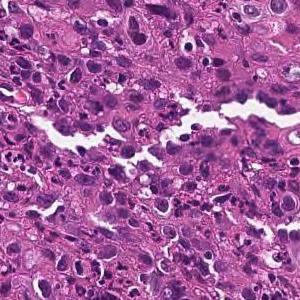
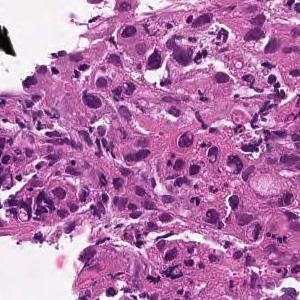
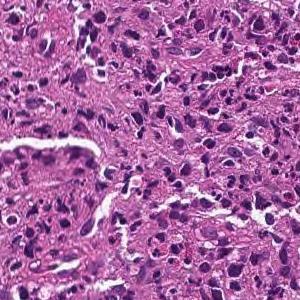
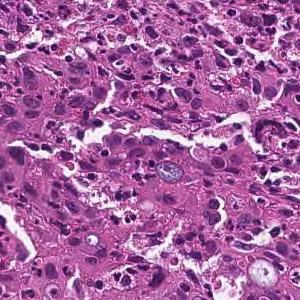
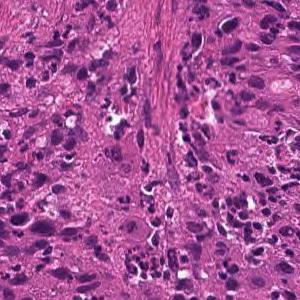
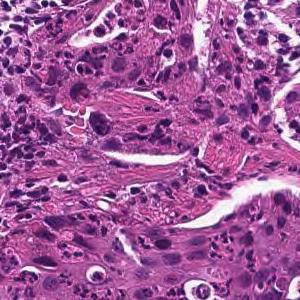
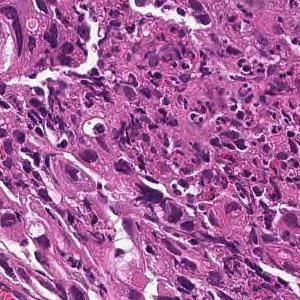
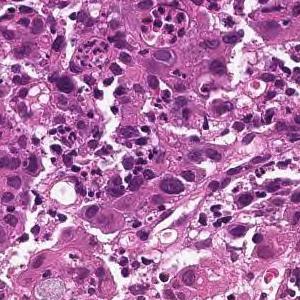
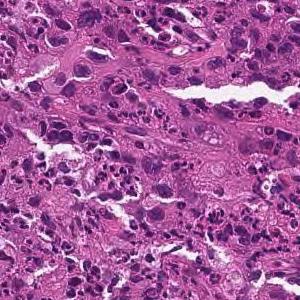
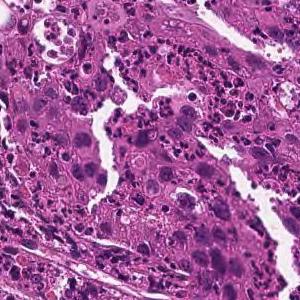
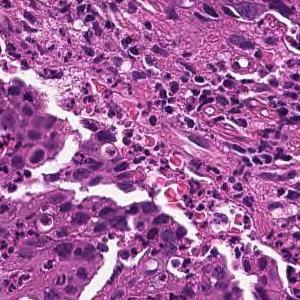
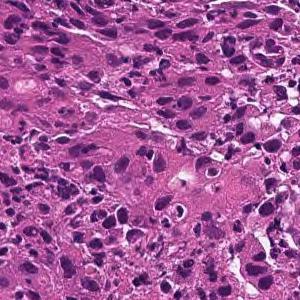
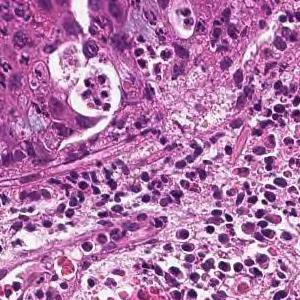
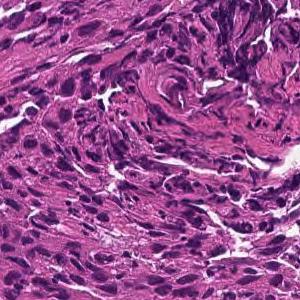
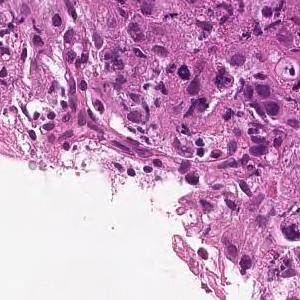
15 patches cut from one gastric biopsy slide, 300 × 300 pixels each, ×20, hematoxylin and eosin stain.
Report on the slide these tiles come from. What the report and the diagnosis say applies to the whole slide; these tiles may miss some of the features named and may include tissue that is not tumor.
The superficial epithelium shows a large sheet-like shape, and some tumor tissue infiltrates with small irregular ducts. Poorly differentiated adenocarcinoma, solid-type
Subtype: Poorly differentiated adenocarcinoma, solid type. This name comes from the Japanese Classification of Gastric Carcinoma; the WHO 2019 classification calls it tubular adenocarcinoma, poorly differentiated.
